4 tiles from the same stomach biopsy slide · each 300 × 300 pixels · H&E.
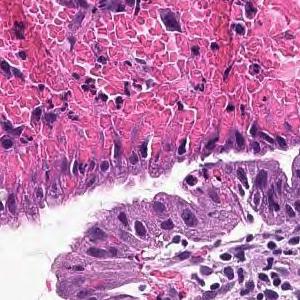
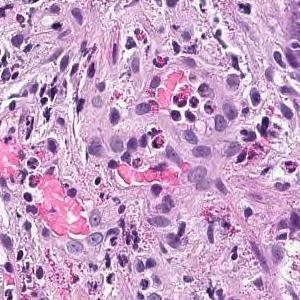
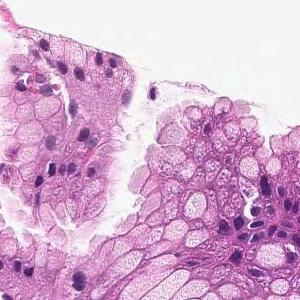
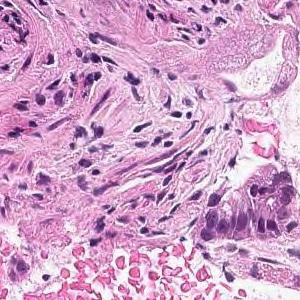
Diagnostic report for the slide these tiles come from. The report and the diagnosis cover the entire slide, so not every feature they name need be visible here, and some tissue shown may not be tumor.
In the superficial epithelium, tumor tissue that invades by forming medium-sized to small, irregular ducts is observed. moderately differentiated tubular adenocarcinoma.
